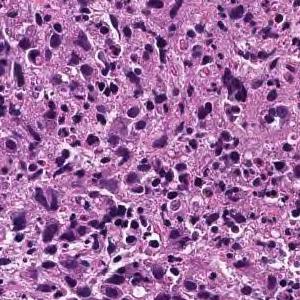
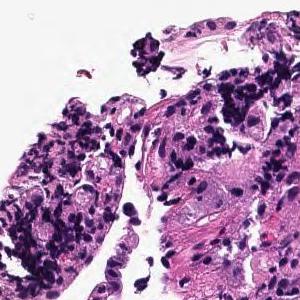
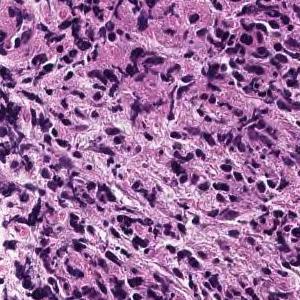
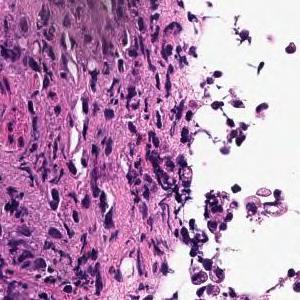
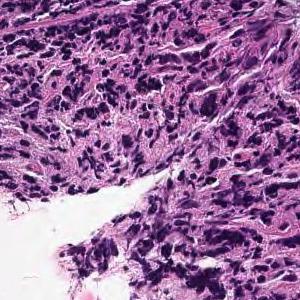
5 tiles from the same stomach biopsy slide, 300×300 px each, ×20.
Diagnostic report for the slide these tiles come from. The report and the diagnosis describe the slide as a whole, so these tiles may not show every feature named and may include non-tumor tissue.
Large sheet-like or diffusely infiltrating tumor tissue is found in the superficial epithelium. Poorly differentiated adenocarcinoma, solid-type
Histologic type: Poorly differentiated adenocarcinoma, solid type. This name comes from the Japanese Classification of Gastric Carcinoma; the WHO 2019 classification calls it tubular adenocarcinoma, poorly differentiated.
